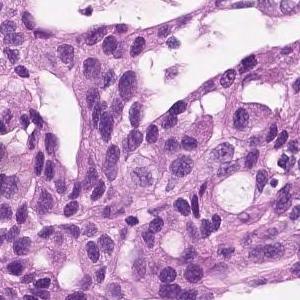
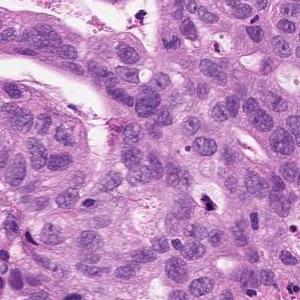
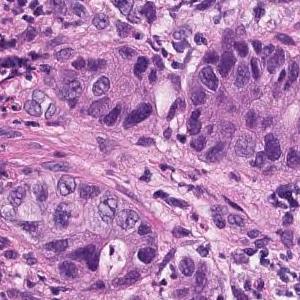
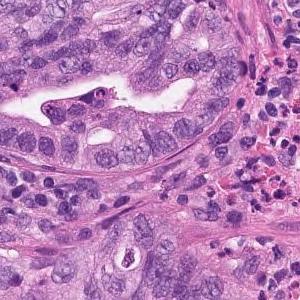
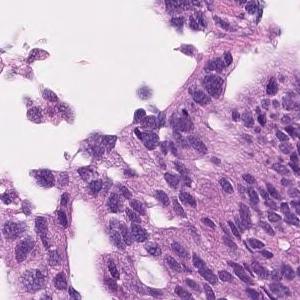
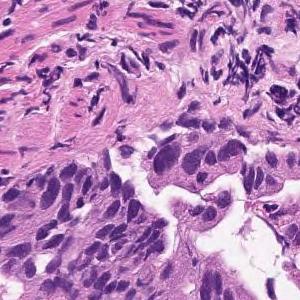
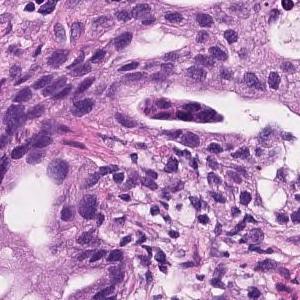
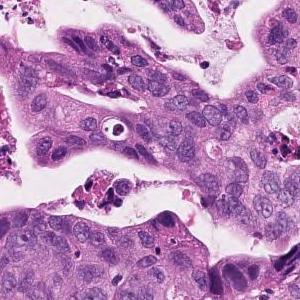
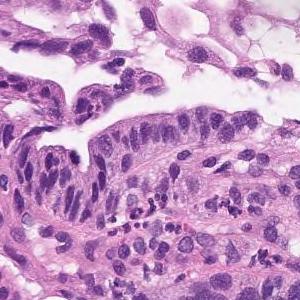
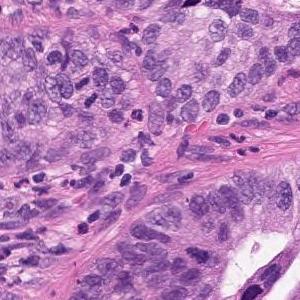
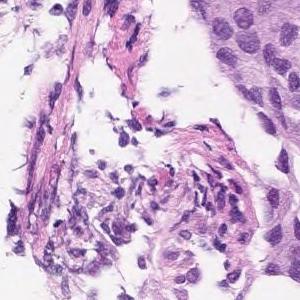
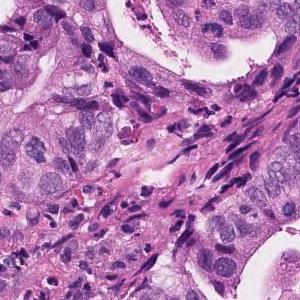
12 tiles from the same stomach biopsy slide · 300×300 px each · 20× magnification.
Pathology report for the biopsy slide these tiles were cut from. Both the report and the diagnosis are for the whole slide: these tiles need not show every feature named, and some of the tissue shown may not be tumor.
Atypical epithelium forming papillary or sieving ducts and infiltrating growth is observed. Papillary adenocarcinoma.
